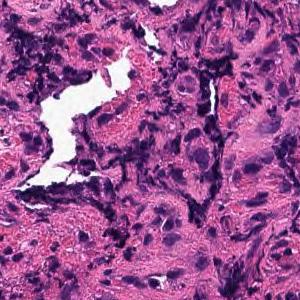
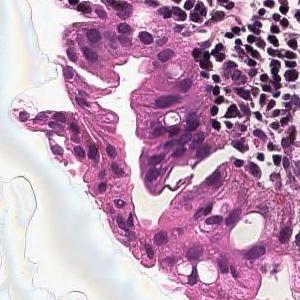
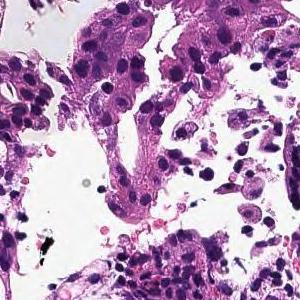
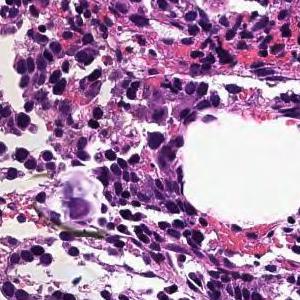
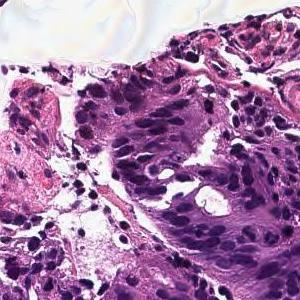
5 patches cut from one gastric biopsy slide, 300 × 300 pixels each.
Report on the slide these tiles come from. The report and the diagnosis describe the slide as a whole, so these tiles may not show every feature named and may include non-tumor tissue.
In the superficial epithelium, tumor tissue that invades by forming medium-sized to small, irregular ducts is observed. moderately differentiated tubular adenocarcinoma.
